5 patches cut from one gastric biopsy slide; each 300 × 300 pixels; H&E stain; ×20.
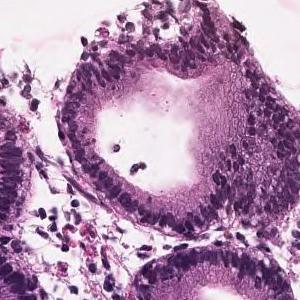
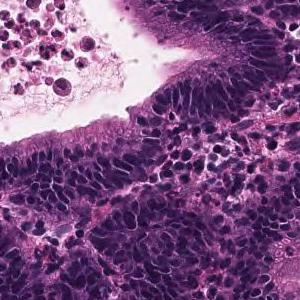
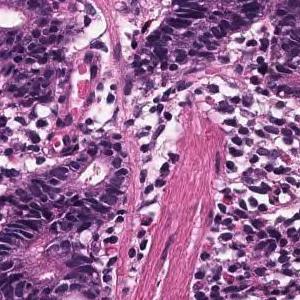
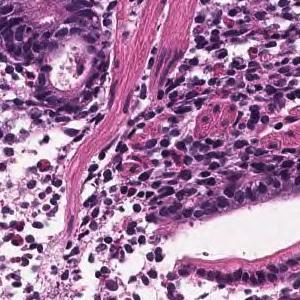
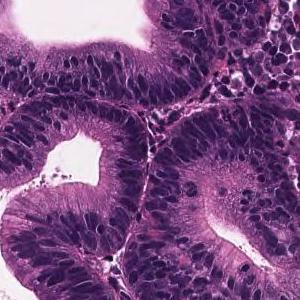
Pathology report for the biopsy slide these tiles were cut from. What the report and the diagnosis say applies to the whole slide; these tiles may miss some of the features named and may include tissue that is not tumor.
Atypical epithelium with swelling of the nucleus and pseudostratified shows tumor tissue that grows with irregular branching. Well differentiated tubular adenocarcinoma
